H&E stain · 7 tiles cut from one stomach biopsy slide · each 300 × 300 pixels.
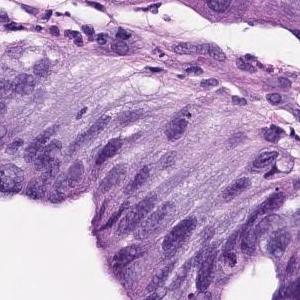
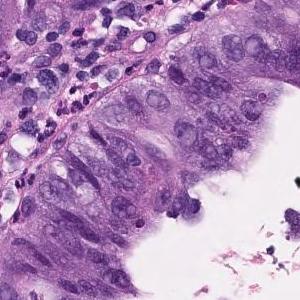
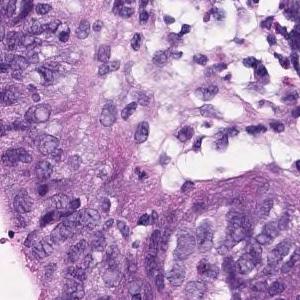
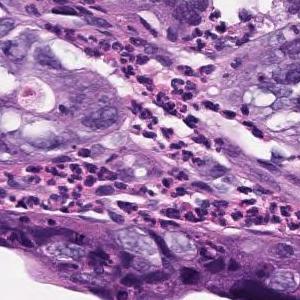
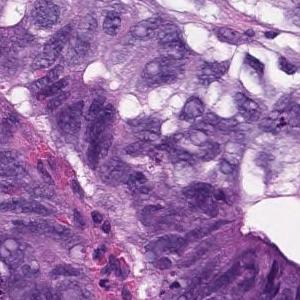
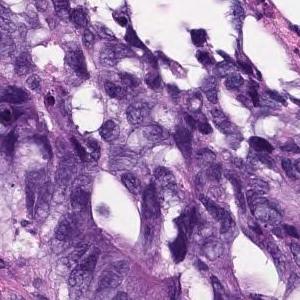
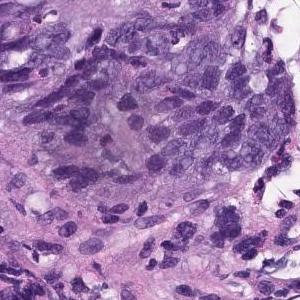
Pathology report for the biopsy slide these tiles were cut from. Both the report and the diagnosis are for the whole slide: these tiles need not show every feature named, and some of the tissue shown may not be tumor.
In the superficial epithelium, tumor tissue that invades by forming medium-sized to small, irregular ducts is observed. Moderately differentiated adenocarcinoma.
Classified as moderately differentiated tubular adenocarcinoma.
